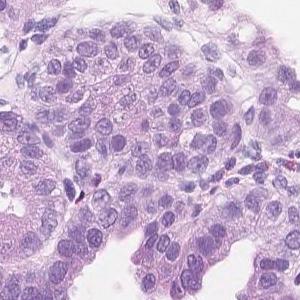
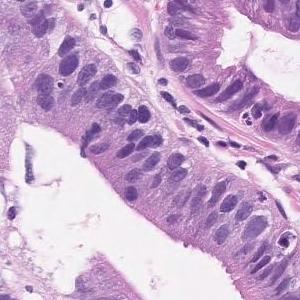
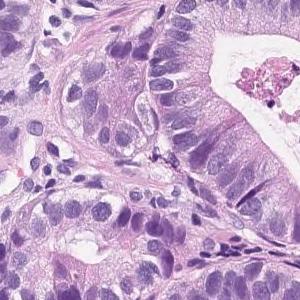
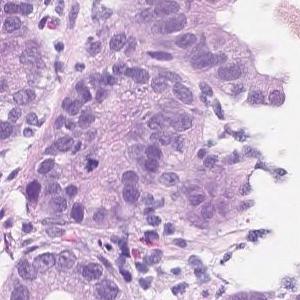
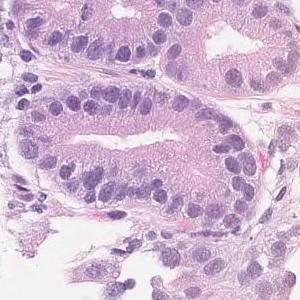
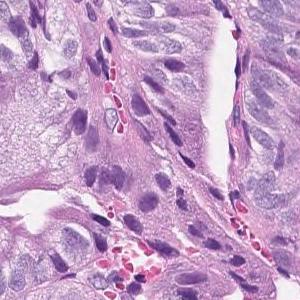
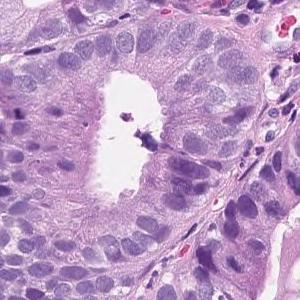
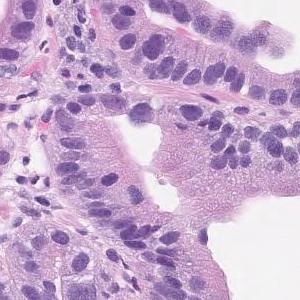
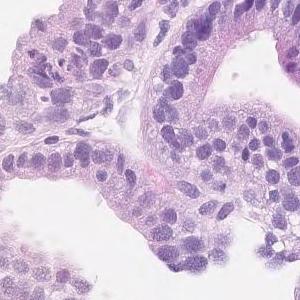
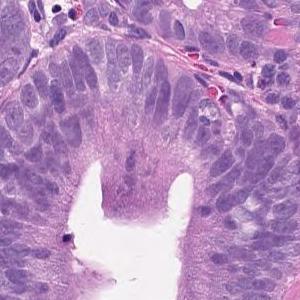
Scanned at ×20; hematoxylin and eosin stain; 10 tiles from the same stomach biopsy slide.
Report on the slide these tiles come from. The report and the diagnosis cover the entire slide, so not every feature they name need be visible here, and some tissue shown may not be tumor.
Tumor tissue consisting of medium-sized and irregular ducts is observed infiltrating in the superficial epithelium. Tumor cells are highly columnar, with nuclei aligned basolaterally and polarized. Well differentiated tubular adenocarcinoma.
